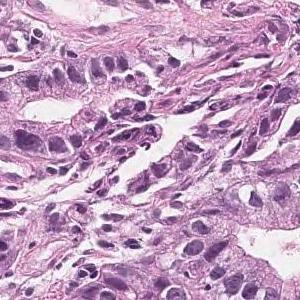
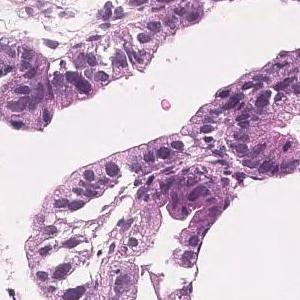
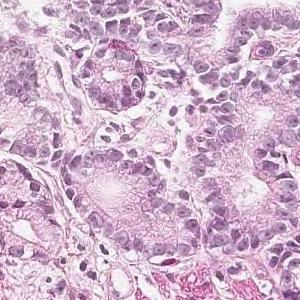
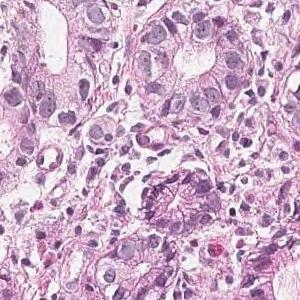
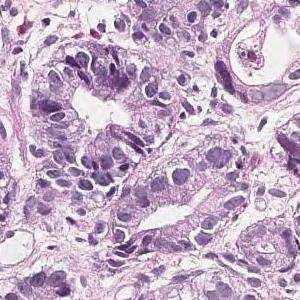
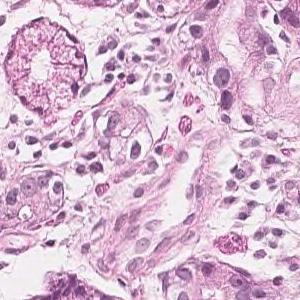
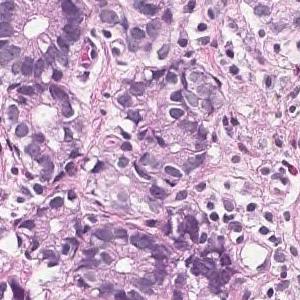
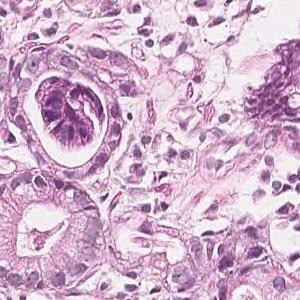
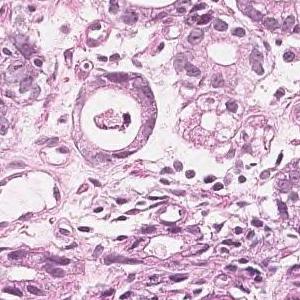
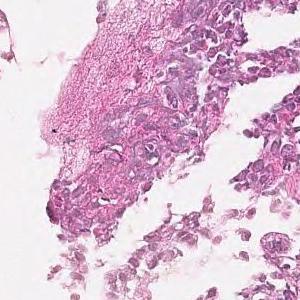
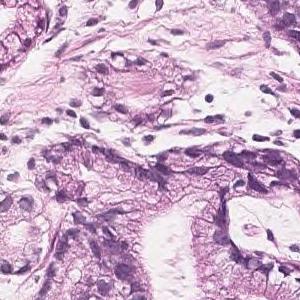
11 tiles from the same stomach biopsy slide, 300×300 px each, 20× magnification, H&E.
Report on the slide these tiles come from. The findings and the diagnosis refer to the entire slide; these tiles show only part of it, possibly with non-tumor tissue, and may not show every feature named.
In the superficial epithelium, tumor tissue that invades by forming medium-sized to small, irregular ducts is observed. moderately differentiated tubular adenocarcinoma.
